10 patches cut from one gastric biopsy slide, each 300 × 300 pixels.
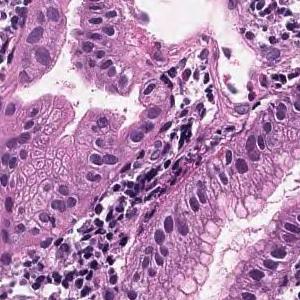
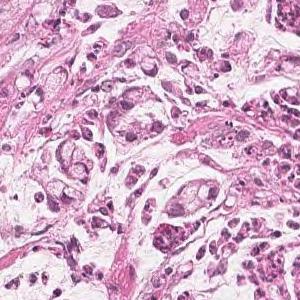
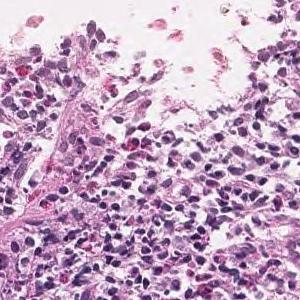
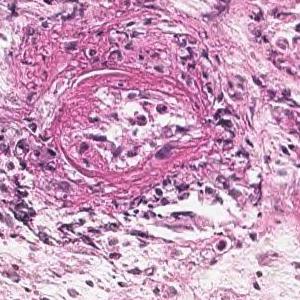
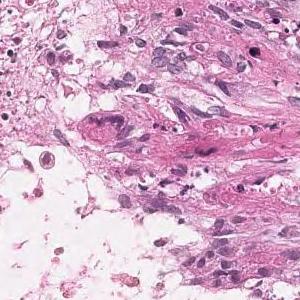
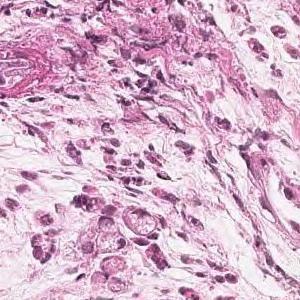
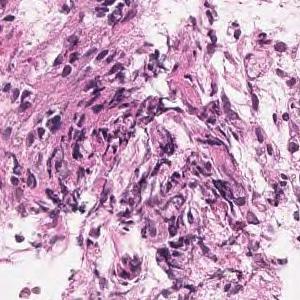
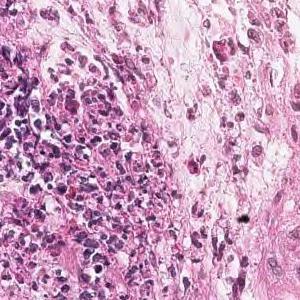
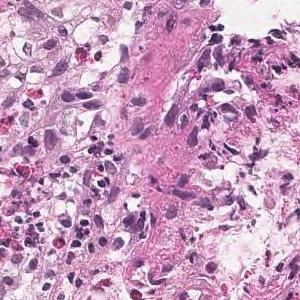
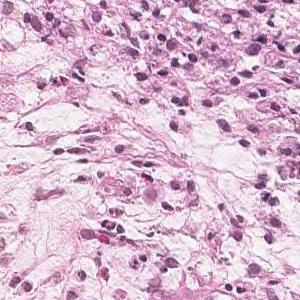
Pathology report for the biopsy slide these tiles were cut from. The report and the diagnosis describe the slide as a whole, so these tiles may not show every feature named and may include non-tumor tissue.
Tumor tissue is observed in which atypical epithelial cells with mucus in the vesicles proliferate while being isolated. Signet ring cell carcinoma
